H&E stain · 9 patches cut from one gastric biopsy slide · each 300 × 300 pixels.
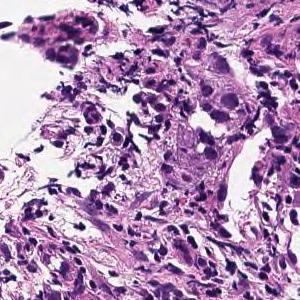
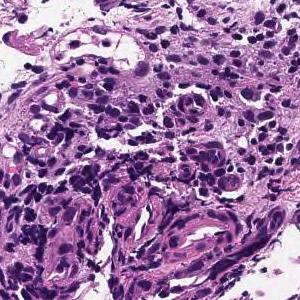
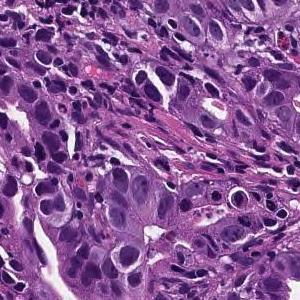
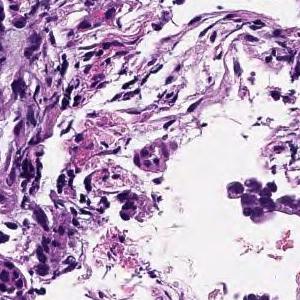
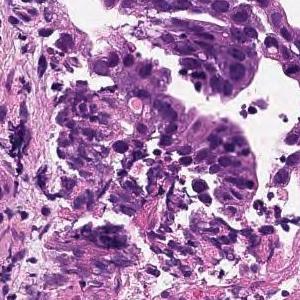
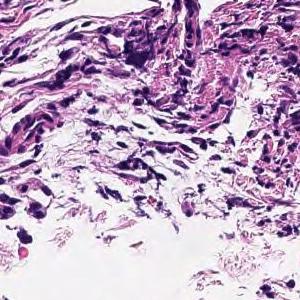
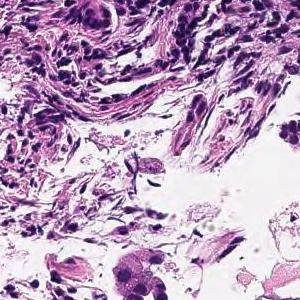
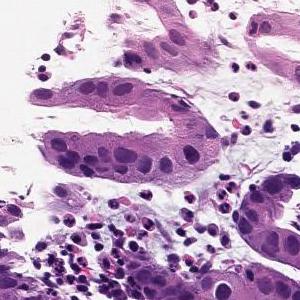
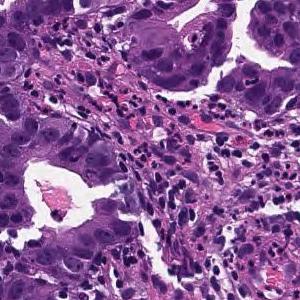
Pathology report for the biopsy slide these tiles were cut from. What the report and the diagnosis say applies to the whole slide; these tiles may miss some of the features named and may include tissue that is not tumor.
In the superficial epithelium, tumor tissue that invades by forming medium-sized to small, irregular ducts is observed. moderately differentiated tubular adenocarcinoma.
